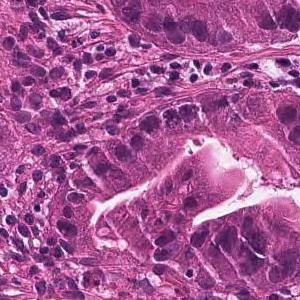
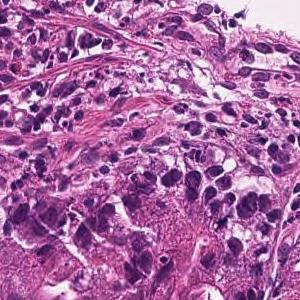
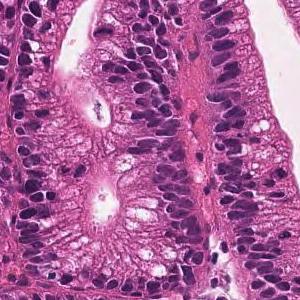
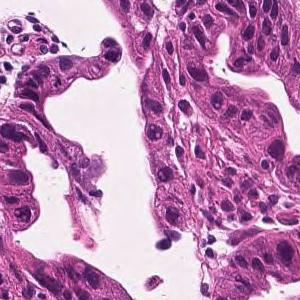
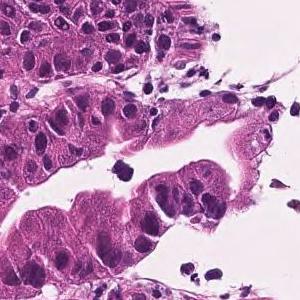
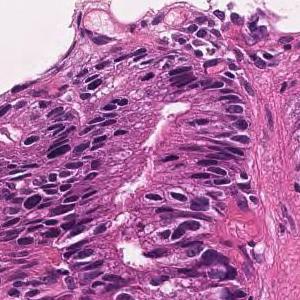
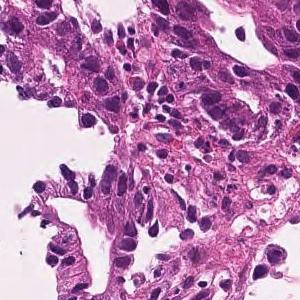
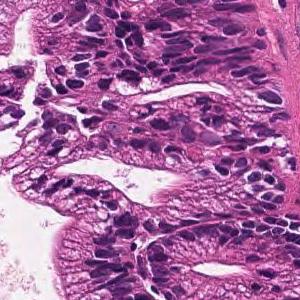
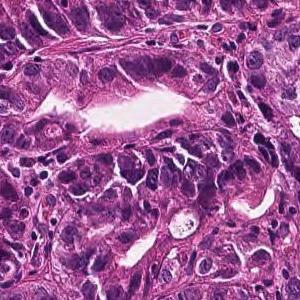
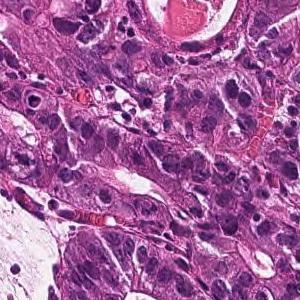
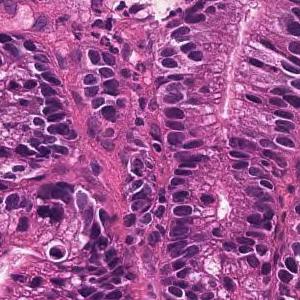
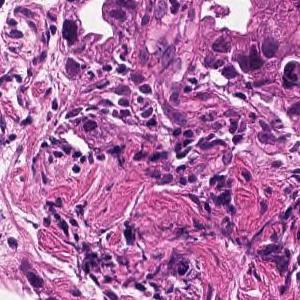
12 image tiles from a single gastric biopsy slide · hematoxylin and eosin stain.
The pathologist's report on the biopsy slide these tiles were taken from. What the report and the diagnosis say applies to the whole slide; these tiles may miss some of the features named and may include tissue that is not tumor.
In the superficial epithelium, tumor tissue that invades by forming medium-sized to small, irregular ducts is observed. moderately differentiated tubular adenocarcinoma.
